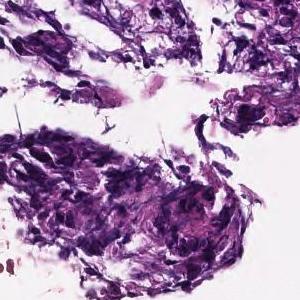
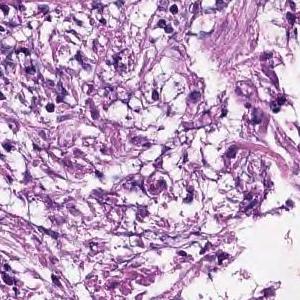
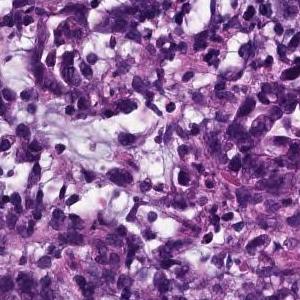
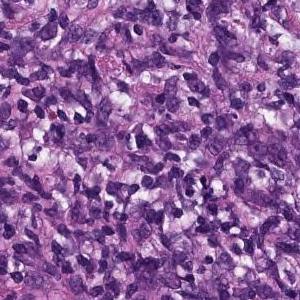
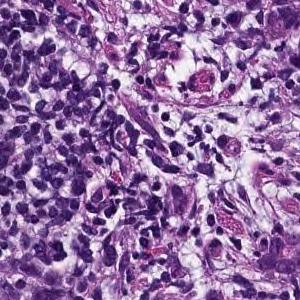
5 image tiles from a single gastric biopsy slide · 300 × 300 pixels each · scanned at ×20 · H&E stain.
Diagnostic report for the slide these tiles come from. The report and the diagnosis cover the entire slide, so not every feature they name need be visible here, and some tissue shown may not be tumor.
Tumor tissue consisting of medium-sized, cord-like or irregular glandular infiltration is observed in the superficial epithelium. Poorly differentiated adenocarcinoma, non-solid type or moderately differentiated tubular adenocarcinoma
Subtype: Moderately to poorly differentiated adenocarcinoma.
"Non-solid type" is a category of the Japanese Classification of Gastric Carcinoma.
